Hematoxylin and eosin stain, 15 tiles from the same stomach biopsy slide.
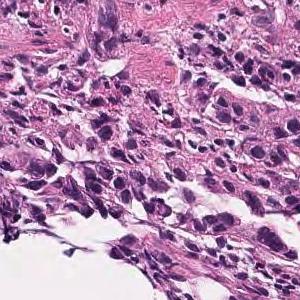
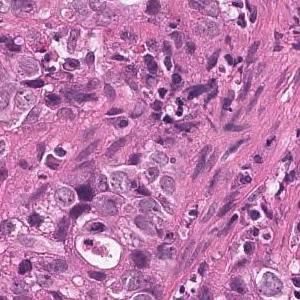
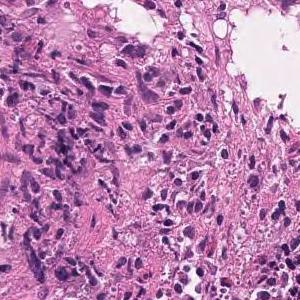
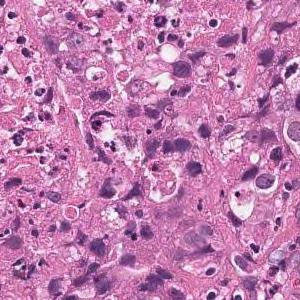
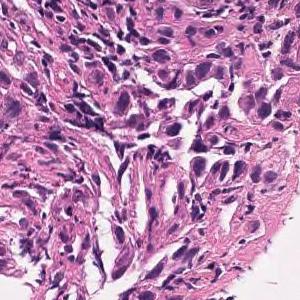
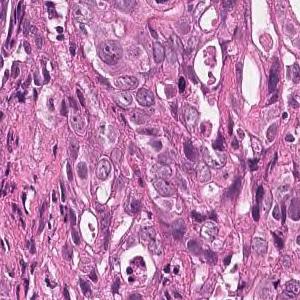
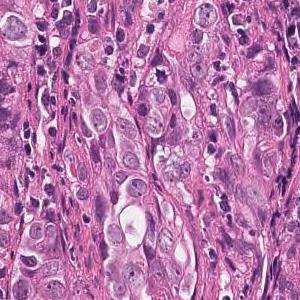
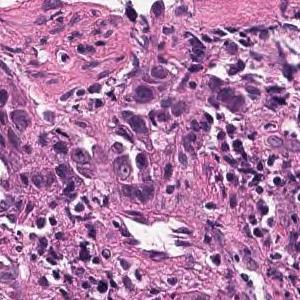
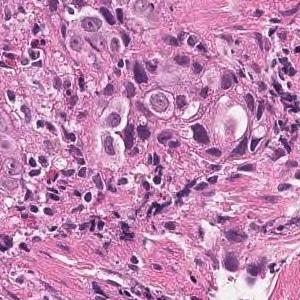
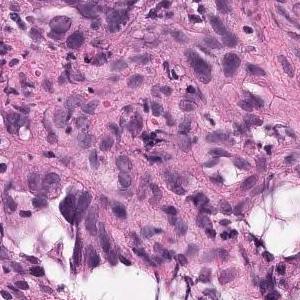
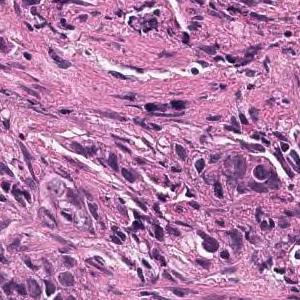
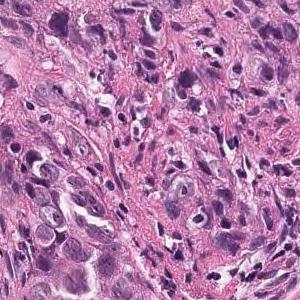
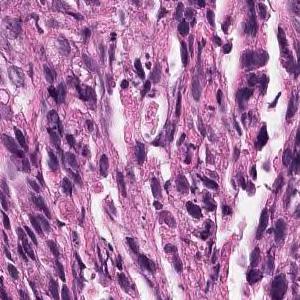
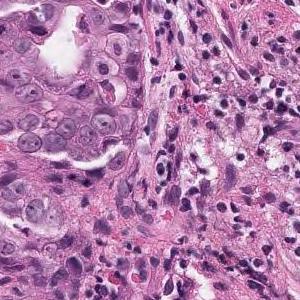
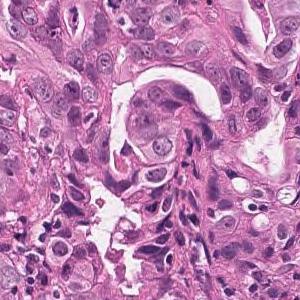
Diagnostic report for the slide these tiles come from. The findings and the diagnosis refer to the entire slide; these tiles show only part of it, possibly with non-tumor tissue, and may not show every feature named.
Tumor tissue that infiltrates and proliferates with alveolar or cord-like structures with small glandular cavities in the superficial to submucosal layers is observed. moderately differentiated tubular adenocarcinoma
